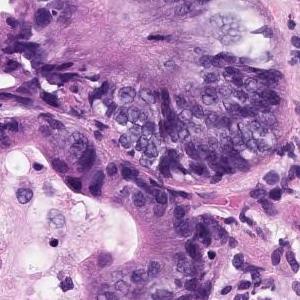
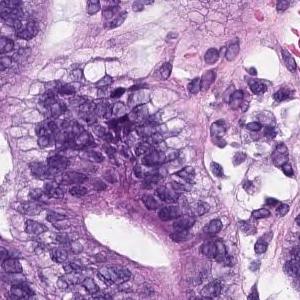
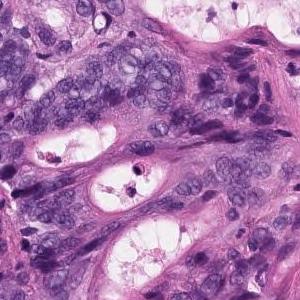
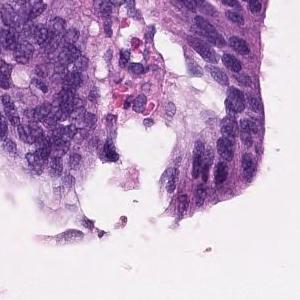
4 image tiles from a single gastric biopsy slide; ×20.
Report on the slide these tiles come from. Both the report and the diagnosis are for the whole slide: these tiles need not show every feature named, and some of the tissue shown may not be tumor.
Group 5, Well differentiated tubular adenocarcinoma.
